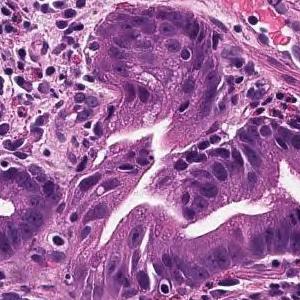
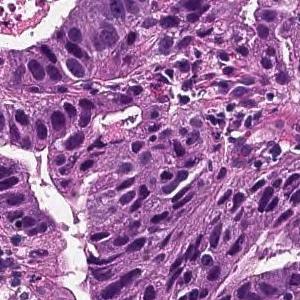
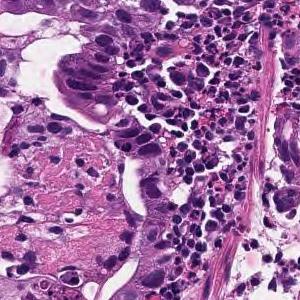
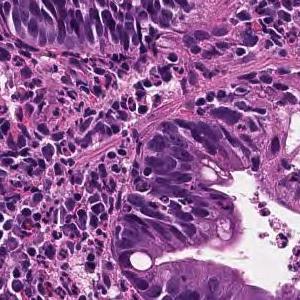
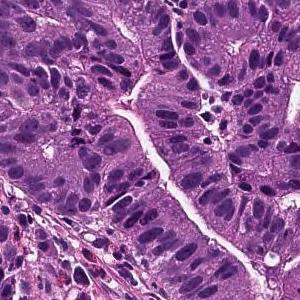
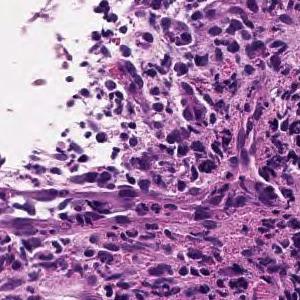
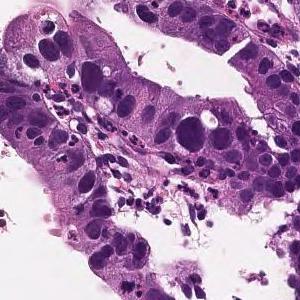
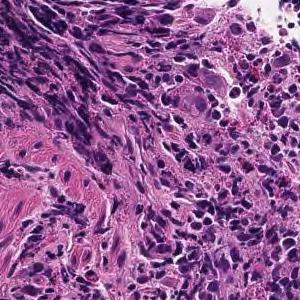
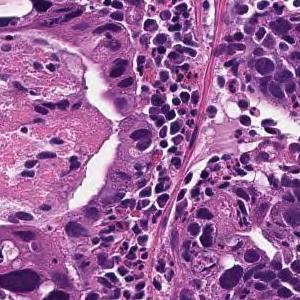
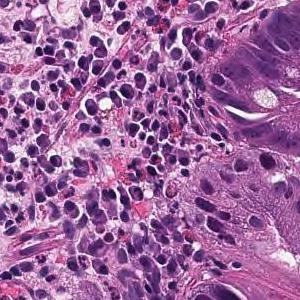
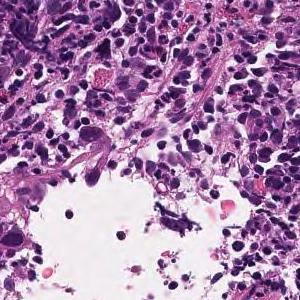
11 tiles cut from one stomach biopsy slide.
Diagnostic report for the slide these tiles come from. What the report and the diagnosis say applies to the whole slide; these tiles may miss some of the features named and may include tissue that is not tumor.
From the superficial epithelium to the muscularis mucosae, tumor tissue consisting of medium-sized and irregular glandular ducts infiltrating is observed. Well differentiated tubular adenocarcinoma
